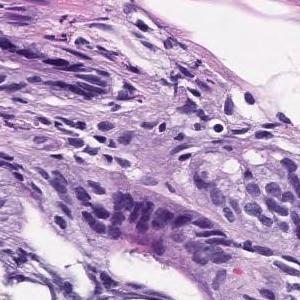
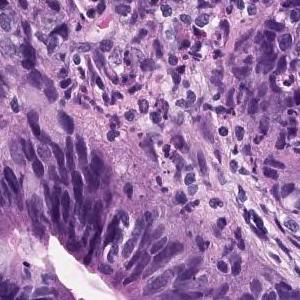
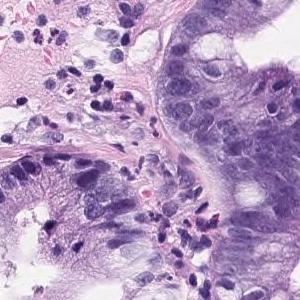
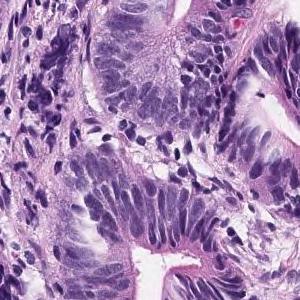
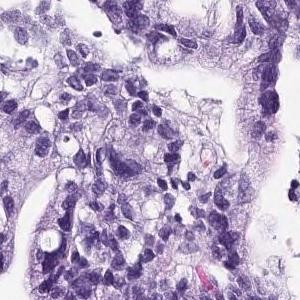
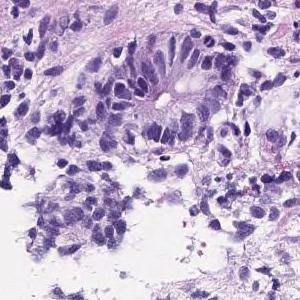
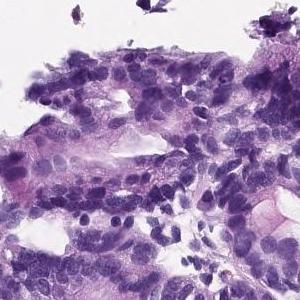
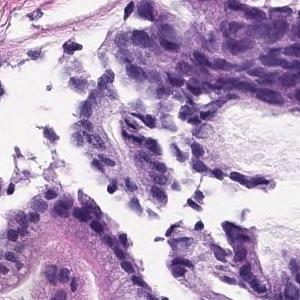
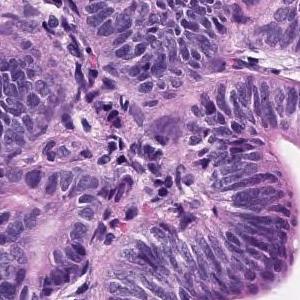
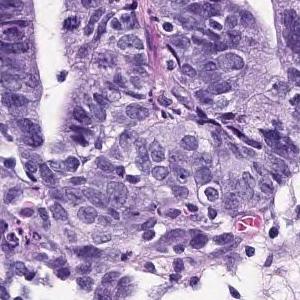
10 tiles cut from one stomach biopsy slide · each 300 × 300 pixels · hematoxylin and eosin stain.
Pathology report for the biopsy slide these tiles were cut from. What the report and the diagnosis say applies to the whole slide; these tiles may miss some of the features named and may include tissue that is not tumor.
On the superficial epithelium, tumor tissue consisting of medium-sized to large-sized, round or irregular glandular duct growth images is observed. Well differentiated adenocarcinoma.
Histologic type: Well differentiated tubular adenocarcinoma.
